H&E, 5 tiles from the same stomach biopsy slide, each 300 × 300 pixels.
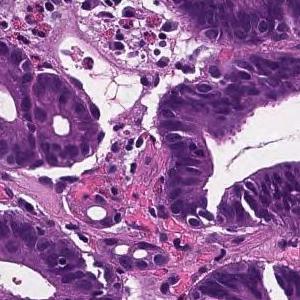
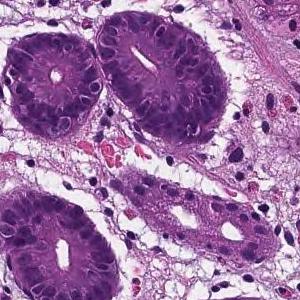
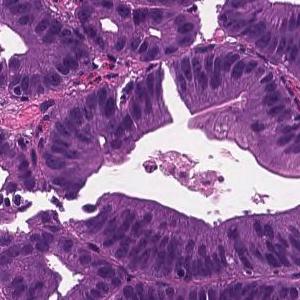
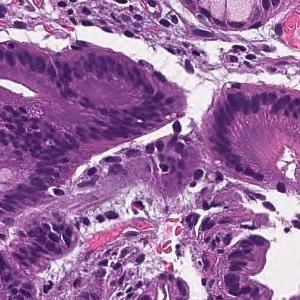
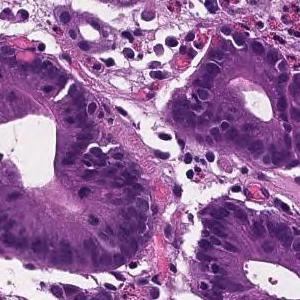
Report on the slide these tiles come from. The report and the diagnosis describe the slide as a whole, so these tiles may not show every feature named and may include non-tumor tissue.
From the superficial epithelium to the muscularis mucosae, tumor tissue consisting of medium-sized and irregular glandular ducts infiltrating is observed. Well differentiated tubular adenocarcinoma
